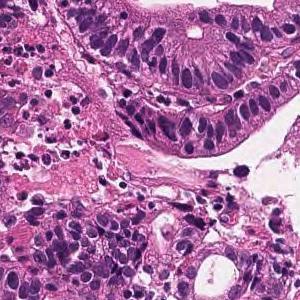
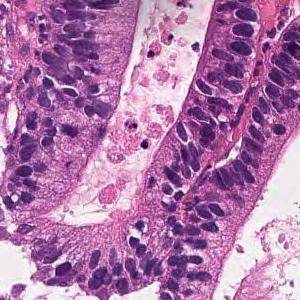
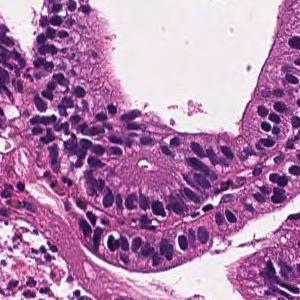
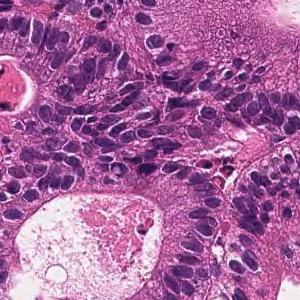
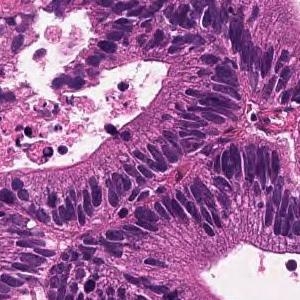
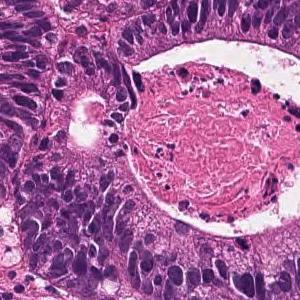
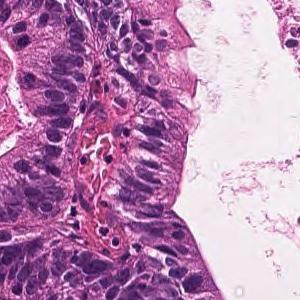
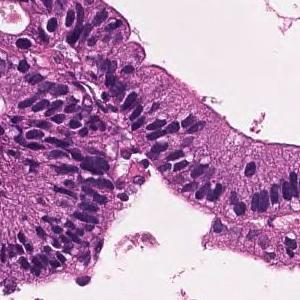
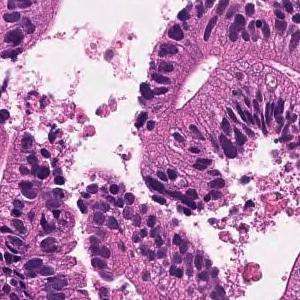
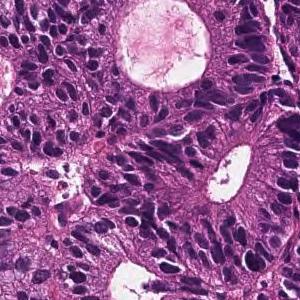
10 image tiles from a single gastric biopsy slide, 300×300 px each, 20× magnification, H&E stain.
Diagnostic report for the slide these tiles come from. What the report and the diagnosis say applies to the whole slide; these tiles may miss some of the features named and may include tissue that is not tumor.
From the superficial epithelium to the muscularis mucosae, tumor tissue infiltrating by forming medium-sized irregular gland ducts is observed. Large tumor cells exhibit large nucleus and hyperchromatism. Well differentiated tubular adenocarcinoma
